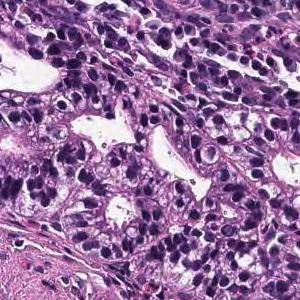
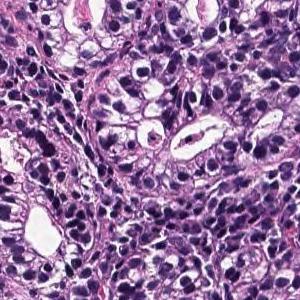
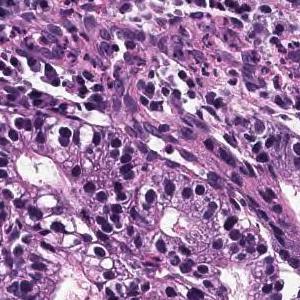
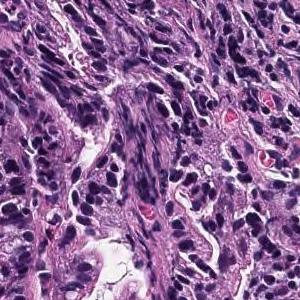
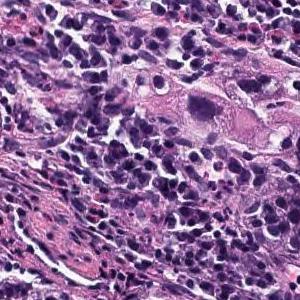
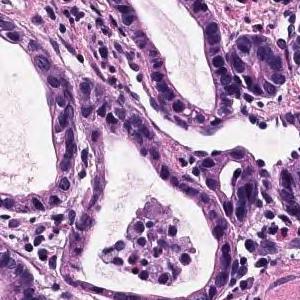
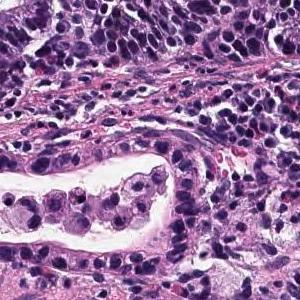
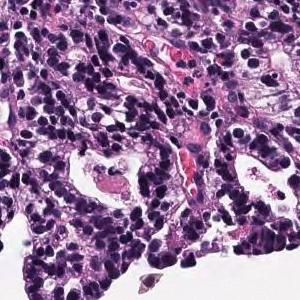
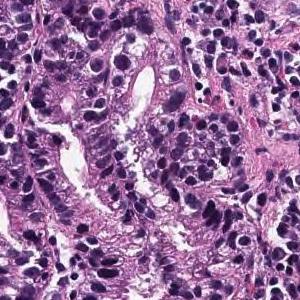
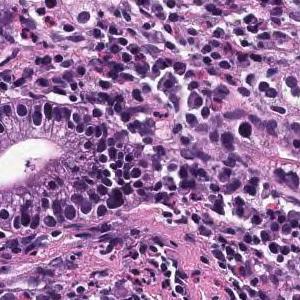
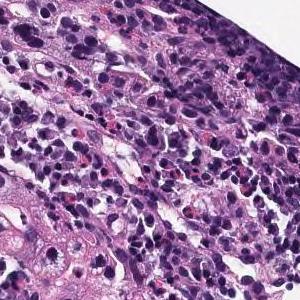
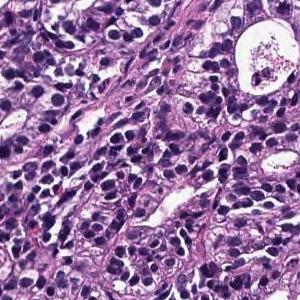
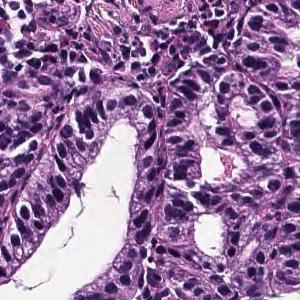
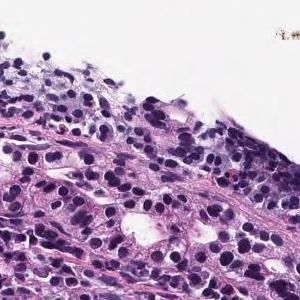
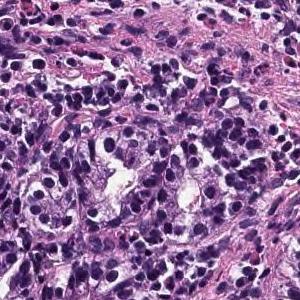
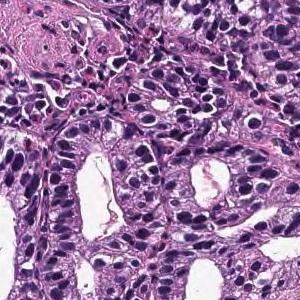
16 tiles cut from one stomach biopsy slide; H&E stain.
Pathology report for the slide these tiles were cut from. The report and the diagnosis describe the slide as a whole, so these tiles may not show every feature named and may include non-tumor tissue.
Neoplastic cells with atypical nuclei of different sizes exhibit tubular glands and infiltrate and proliferate. Moderately differentiated tubular adenocarcinoma.
